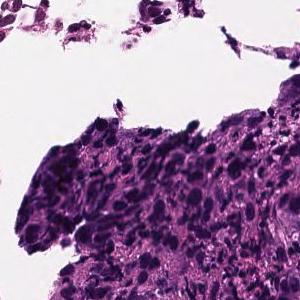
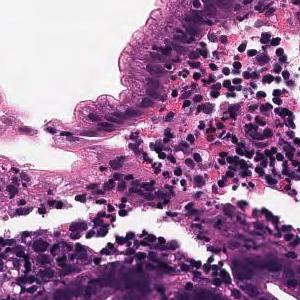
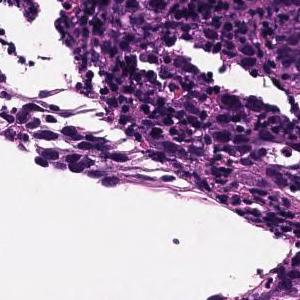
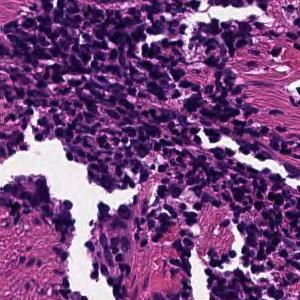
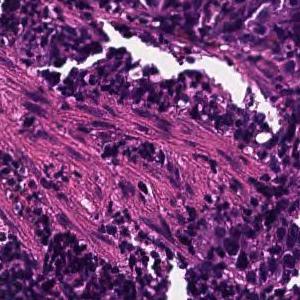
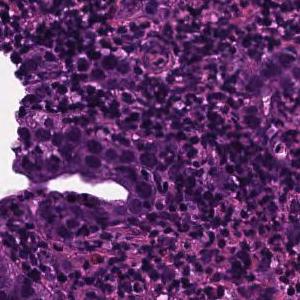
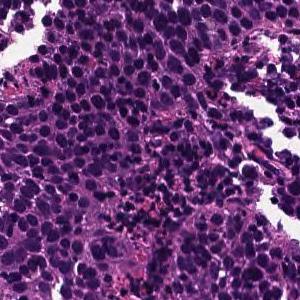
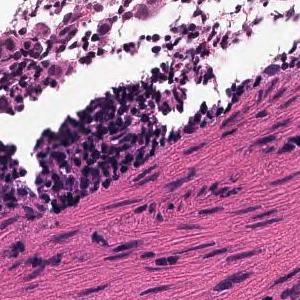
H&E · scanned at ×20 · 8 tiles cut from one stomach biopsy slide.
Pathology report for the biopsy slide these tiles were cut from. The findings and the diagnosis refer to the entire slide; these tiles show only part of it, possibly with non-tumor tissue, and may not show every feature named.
Tumor tissue consisting of cord-like or small, irregular glandular ducts fused and infiltrated is observed in the superficial epithelium. Poorly differentiated adenocarcinoma, non-solid type
"Non-solid type" is a category of the Japanese Classification of Gastric Carcinoma.
